12 image tiles from a single gastric biopsy slide · each 300 × 300 pixels · scanned at ×20 · hematoxylin and eosin stain.
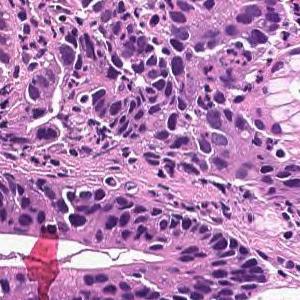
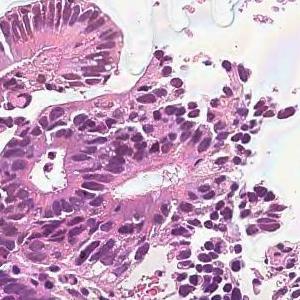
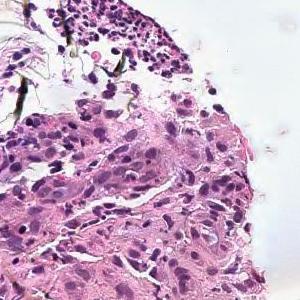
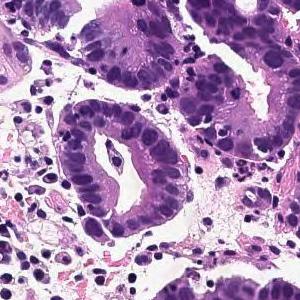
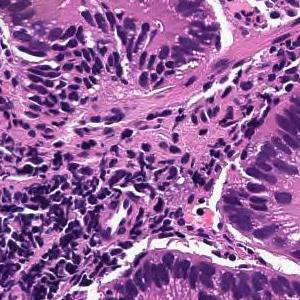
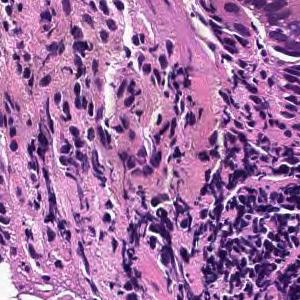
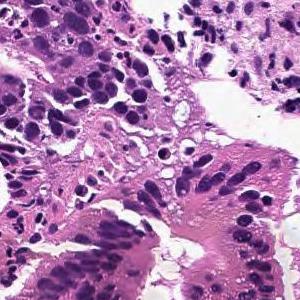
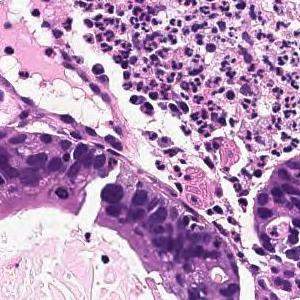
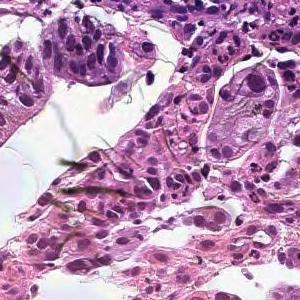
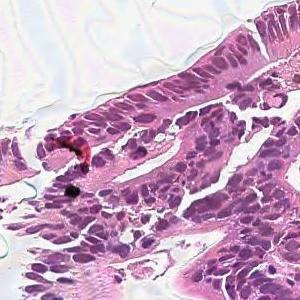
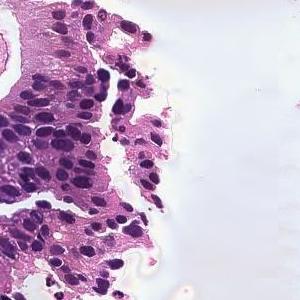
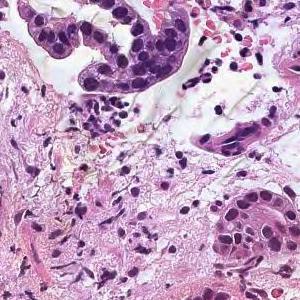
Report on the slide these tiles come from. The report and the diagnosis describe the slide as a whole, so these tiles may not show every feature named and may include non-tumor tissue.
On the superficial epithelium, tumor tissue consisting of large irregular glandular ducts partially fused and infiltrated is observed. Well to moderately differentiated tubular adenocarcinoma (well differentiated tubular adenocarcinoma, moderately differentiated tubular adenocarcinoma)
Tumor subtype: well to moderately differentiated tubular adenocarcinoma.
